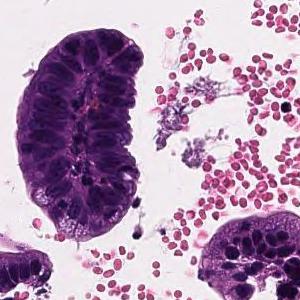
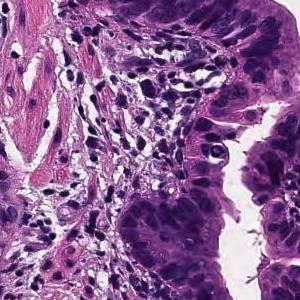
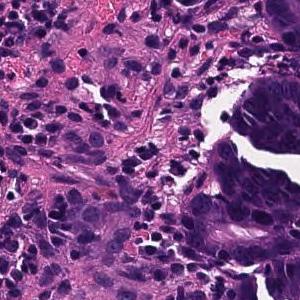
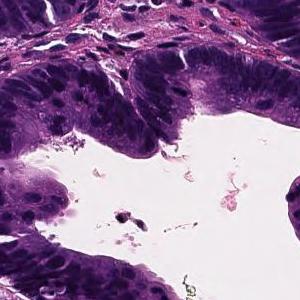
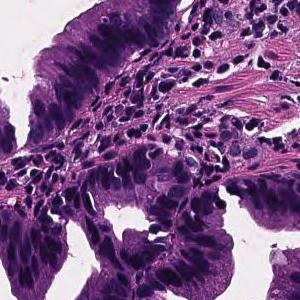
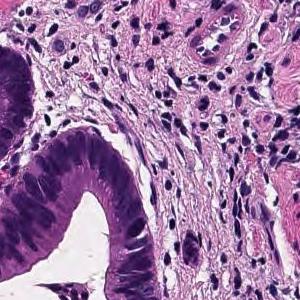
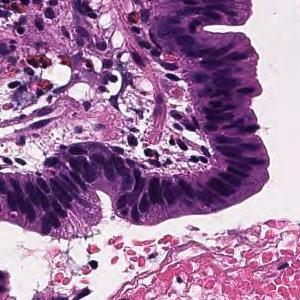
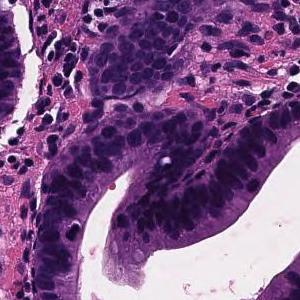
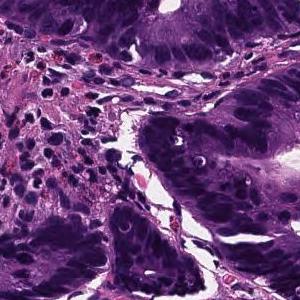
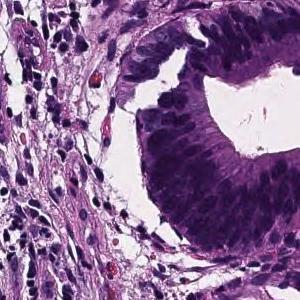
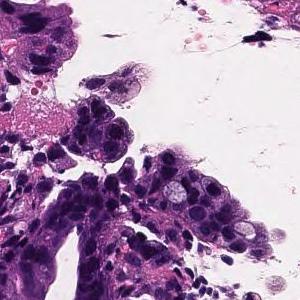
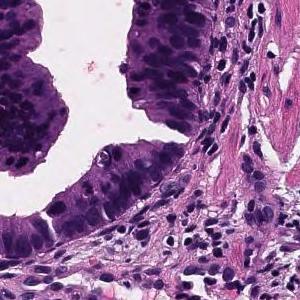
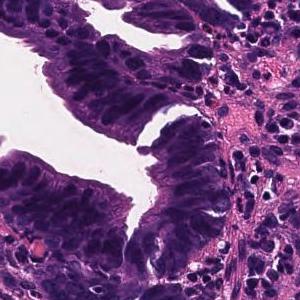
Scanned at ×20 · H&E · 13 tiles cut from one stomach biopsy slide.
The pathologist's report on the biopsy slide these tiles were taken from. The report and the diagnosis describe the slide as a whole, so these tiles may not show every feature named and may include non-tumor tissue.
Tumor cells are large, highly columnar, large club-shaped nuclei, and are associated with chromatin aggregation. Papillary adenocarcinoma.
